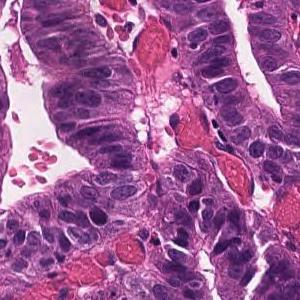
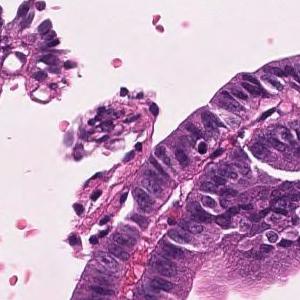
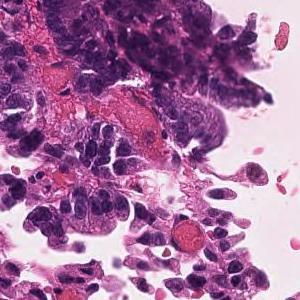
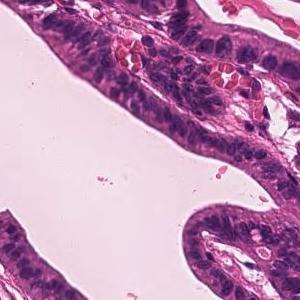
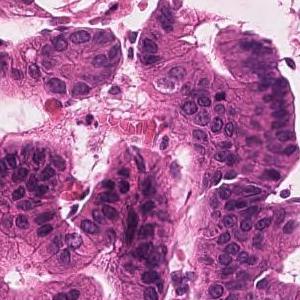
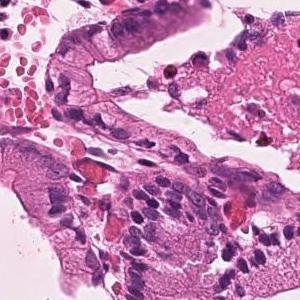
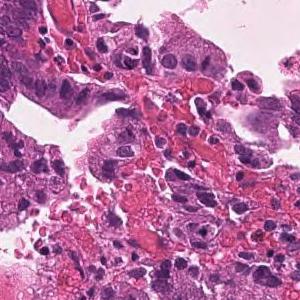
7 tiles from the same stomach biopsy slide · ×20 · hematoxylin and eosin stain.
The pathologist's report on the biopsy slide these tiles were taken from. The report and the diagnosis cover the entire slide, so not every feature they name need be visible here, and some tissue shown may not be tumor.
Infiltrating tumor tissue with medium-sized, irregular ductal structure or large papillary appearance is observed. Well differentiated tubular adenocarcinoma
